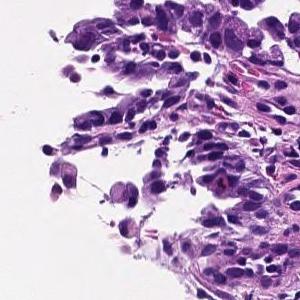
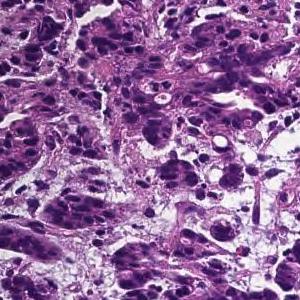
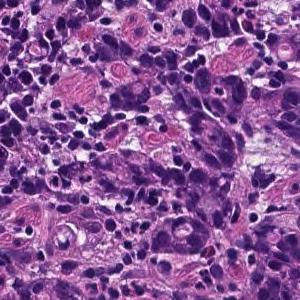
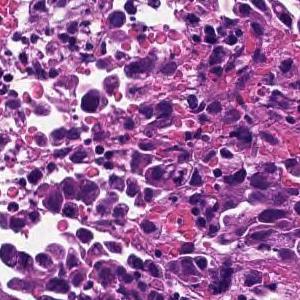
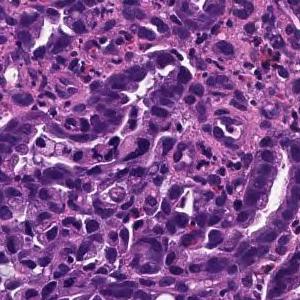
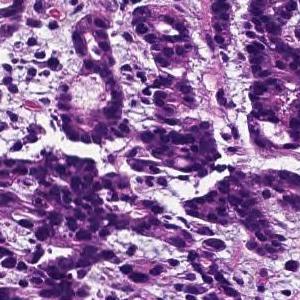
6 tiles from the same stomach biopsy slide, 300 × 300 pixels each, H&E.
The pathologist's report on the biopsy slide these tiles were taken from. The report describes the whole slide, diagnosis included: not every finding it names need appear in these tiles, which may also show non-tumor tissue.
In the superficial epithelium, tumor tissue that invades by forming medium-sized to small, irregular ducts is observed. moderately differentiated tubular adenocarcinoma.
